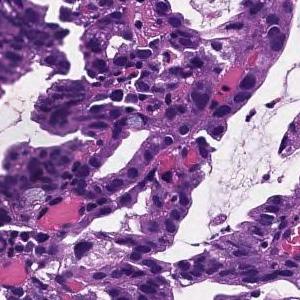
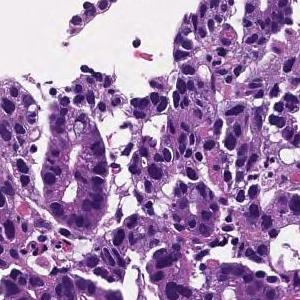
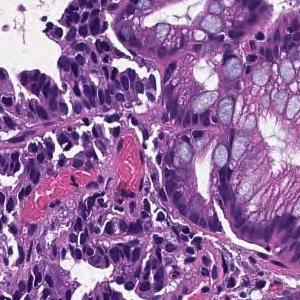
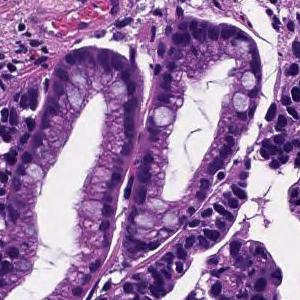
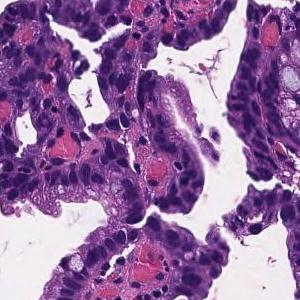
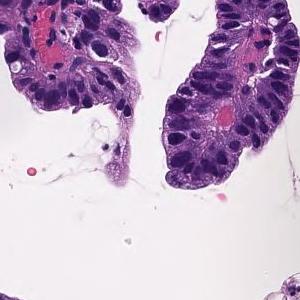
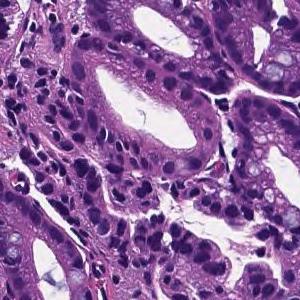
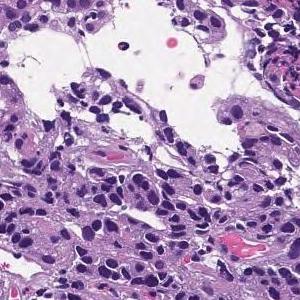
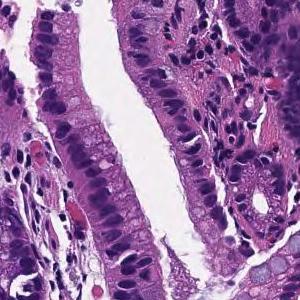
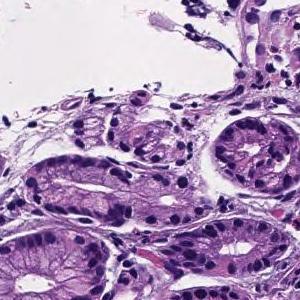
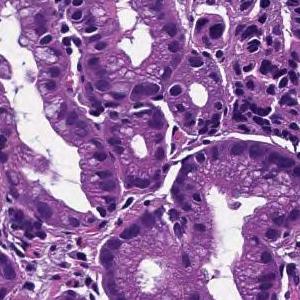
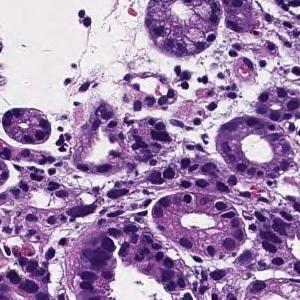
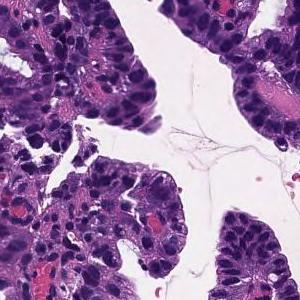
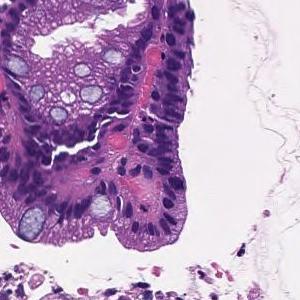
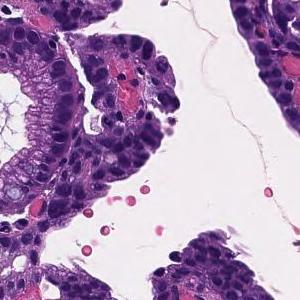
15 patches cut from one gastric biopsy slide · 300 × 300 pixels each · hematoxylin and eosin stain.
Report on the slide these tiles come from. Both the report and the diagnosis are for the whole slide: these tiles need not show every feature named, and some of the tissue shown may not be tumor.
Tumor cells are large, highly columnar, large club-shaped nuclei, and are associated with chromatin aggregation. Papillary adenocarcinoma.
